×20; hematoxylin and eosin stain; 6 tiles from the same stomach biopsy slide; 300 × 300 pixels each.
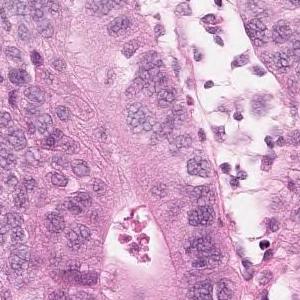
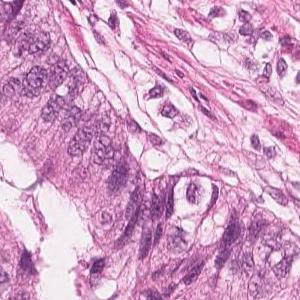
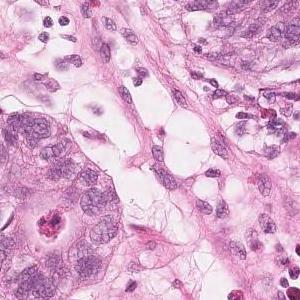
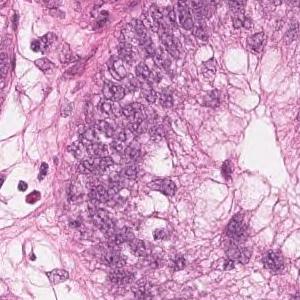
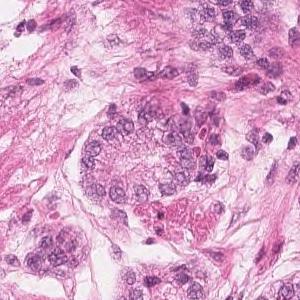
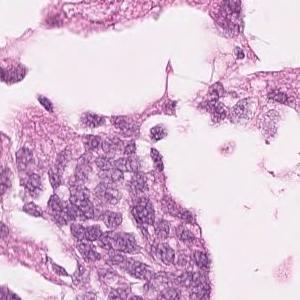
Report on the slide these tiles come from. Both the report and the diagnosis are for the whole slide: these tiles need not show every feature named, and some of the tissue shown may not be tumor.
Highly columnar epithelium with disordered nuclear localization proliferates showing fusion ductal construction. moderately differentiated tubular adenocarcinoma
